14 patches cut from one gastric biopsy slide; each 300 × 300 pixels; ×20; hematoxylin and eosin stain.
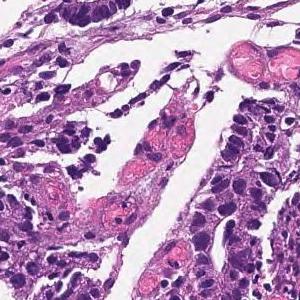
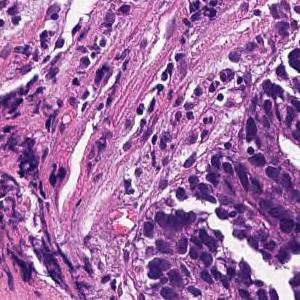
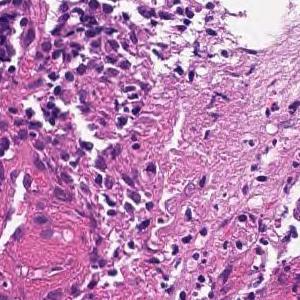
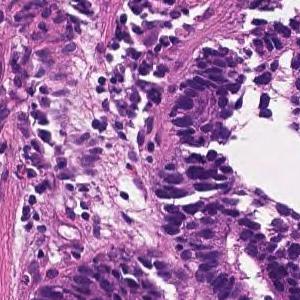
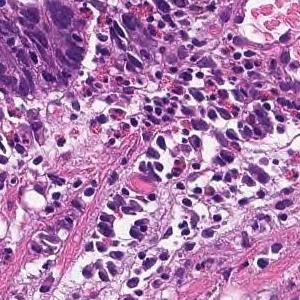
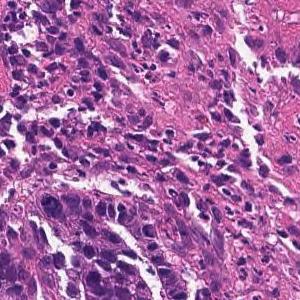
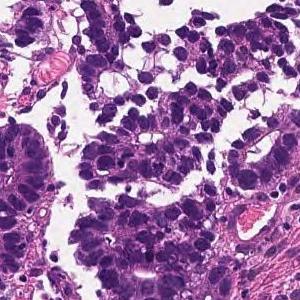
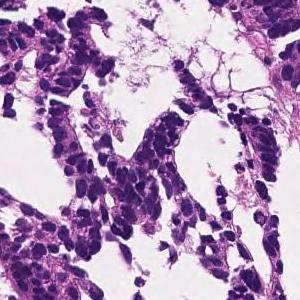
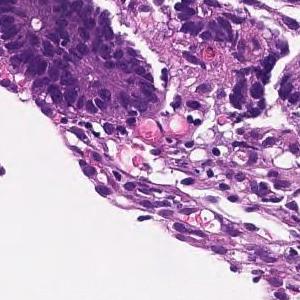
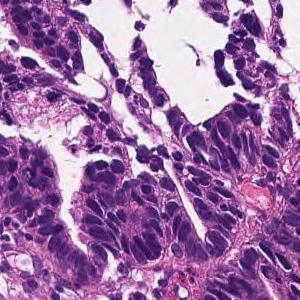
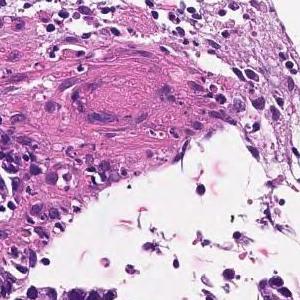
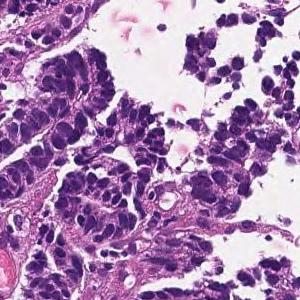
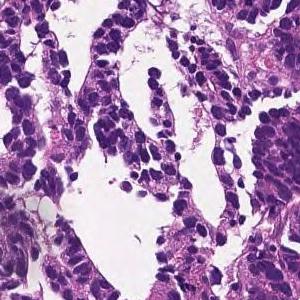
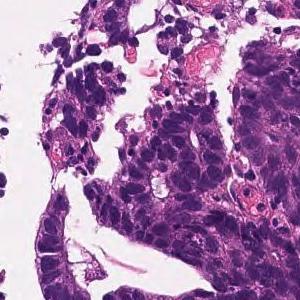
The pathologist's report on the biopsy slide these tiles were taken from. Both the report and the diagnosis are for the whole slide: these tiles need not show every feature named, and some of the tissue shown may not be tumor.
In the superficial epithelium, tumor tissue that invades by forming medium-sized to small, irregular ducts is observed. Moderately differentiated adenocarcinoma (moderately differentiated tubular adenocarcinoma).
Histologic type: Moderately differentiated tubular adenocarcinoma.
